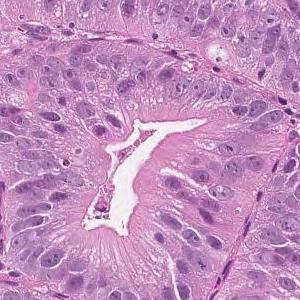
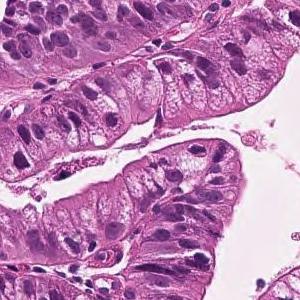
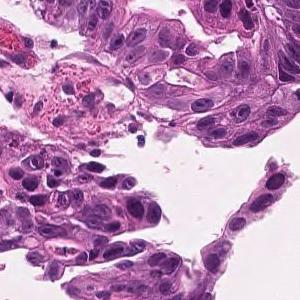
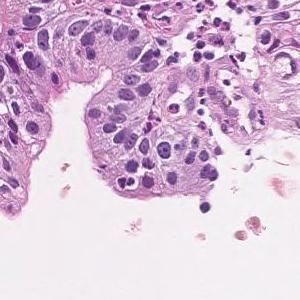
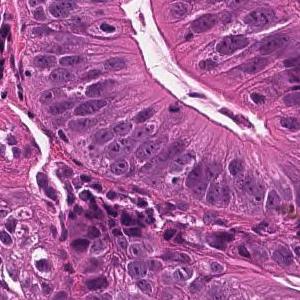
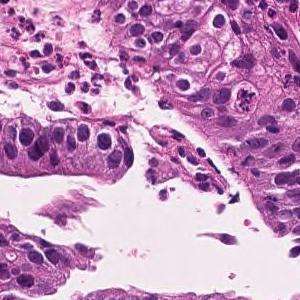
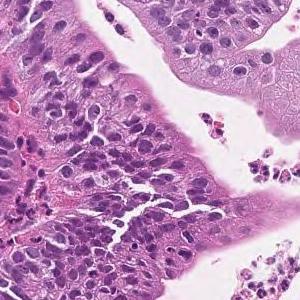
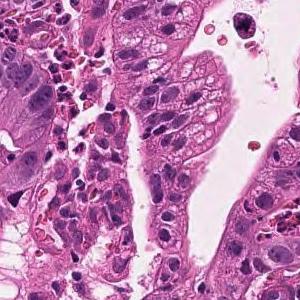
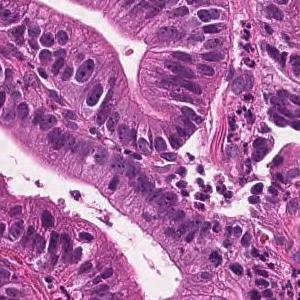
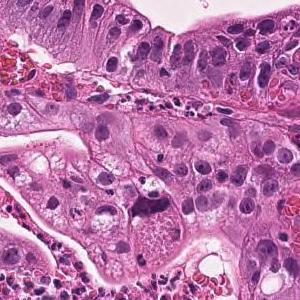
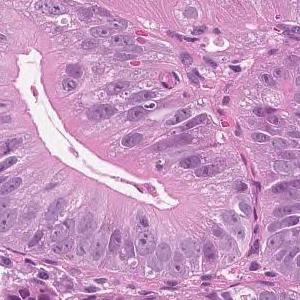
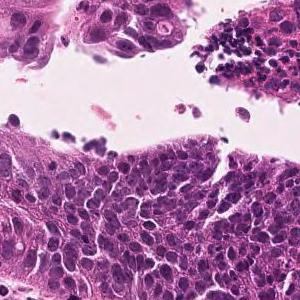
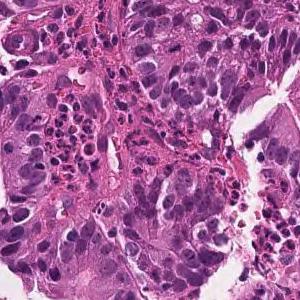
Hematoxylin and eosin stain; ×20; 13 tiles from the same stomach biopsy slide.
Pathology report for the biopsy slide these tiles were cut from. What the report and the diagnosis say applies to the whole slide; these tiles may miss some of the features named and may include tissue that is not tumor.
Tumor cells are large, highly columnar, large club-shaped nuclei, and are associated with chromatin aggregation. Papillary adenocarcinoma.
